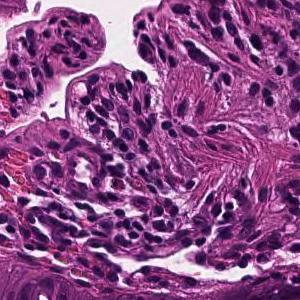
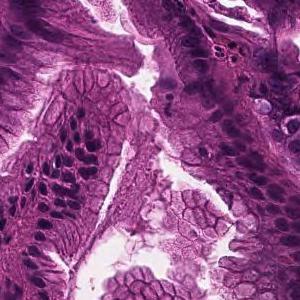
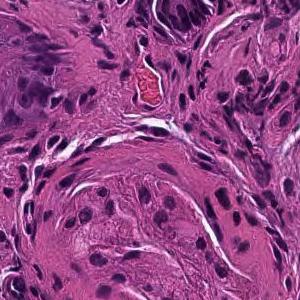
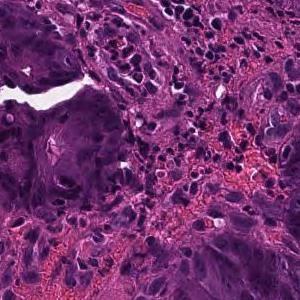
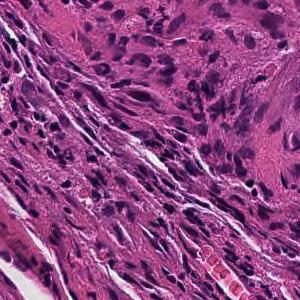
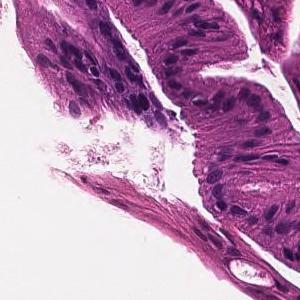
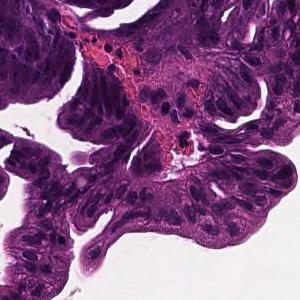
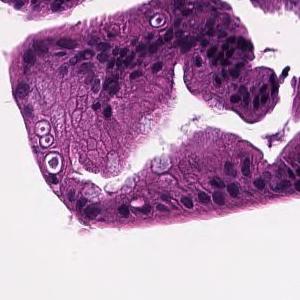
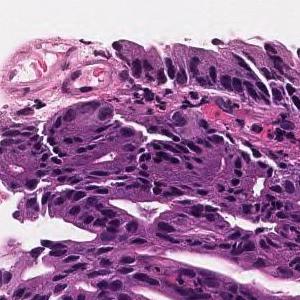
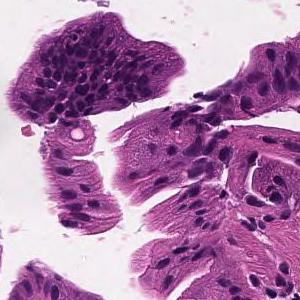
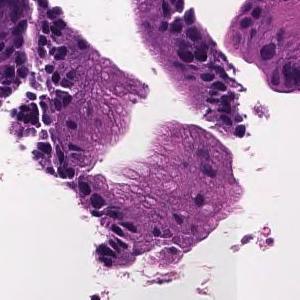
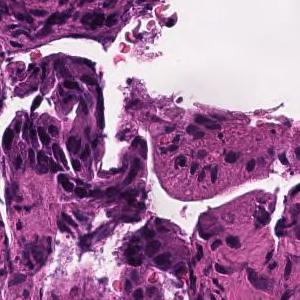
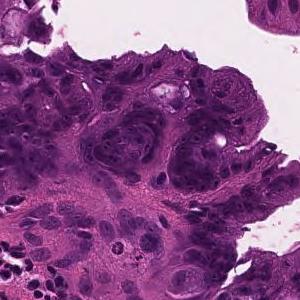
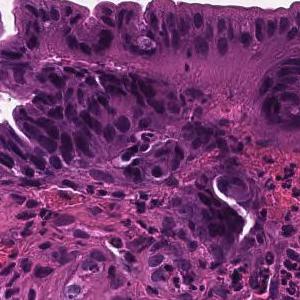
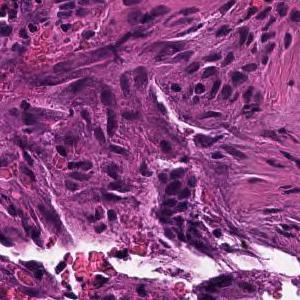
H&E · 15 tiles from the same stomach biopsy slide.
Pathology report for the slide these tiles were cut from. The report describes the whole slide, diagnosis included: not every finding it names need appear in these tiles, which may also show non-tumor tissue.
Tumor cells are large, highly columnar, large club-shaped nuclei, and are associated with chromatin aggregation. Papillary adenocarcinoma.
